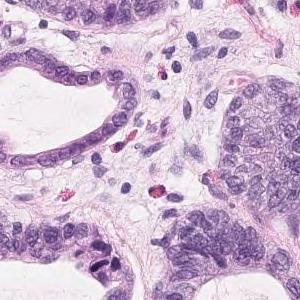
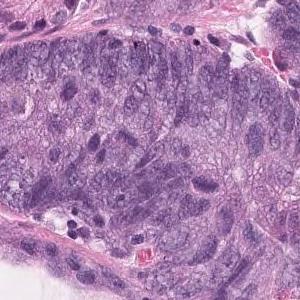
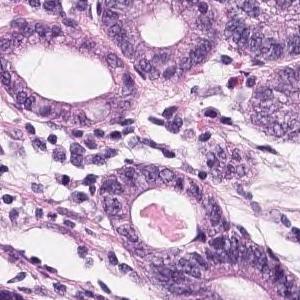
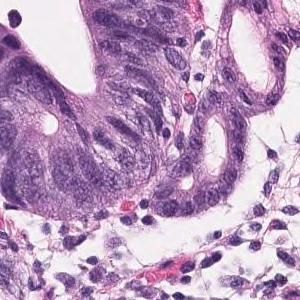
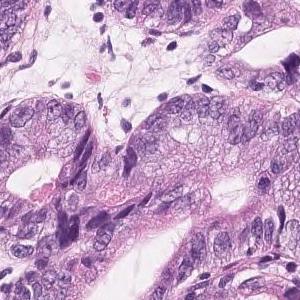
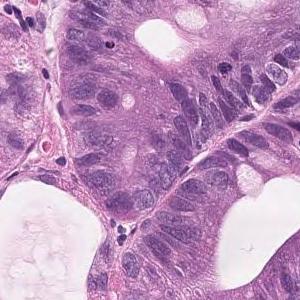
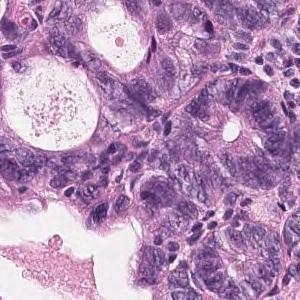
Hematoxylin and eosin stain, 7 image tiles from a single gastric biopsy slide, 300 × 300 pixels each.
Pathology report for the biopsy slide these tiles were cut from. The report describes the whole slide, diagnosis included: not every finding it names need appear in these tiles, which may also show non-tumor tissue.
Atypical ducts with severe atypia are densely populated in the superficial epithelium, and tumor tissue with hyperplasia is observed. Well differentiated tubular adenocarcinoma
